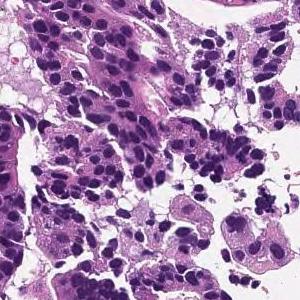
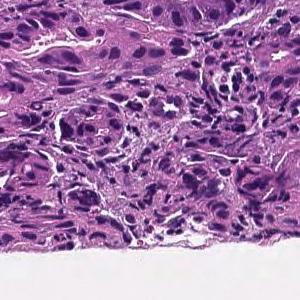
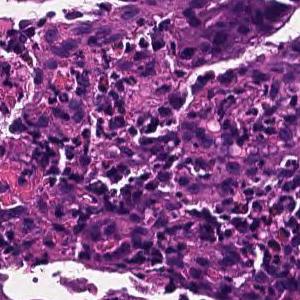
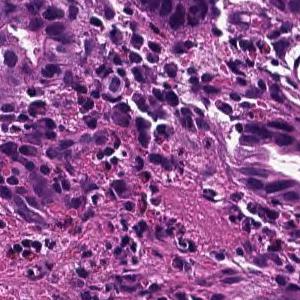
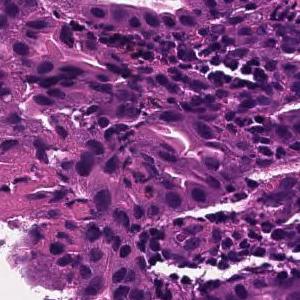
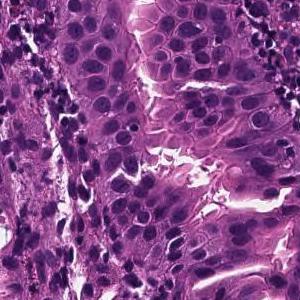
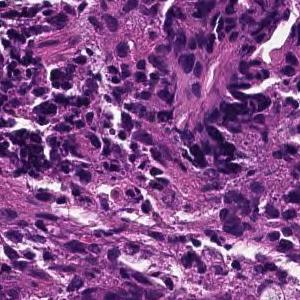
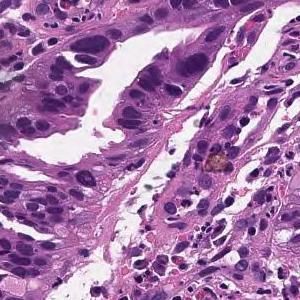
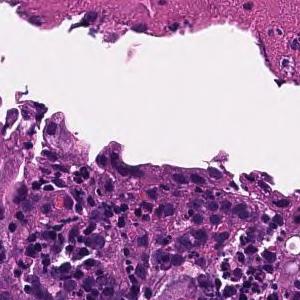
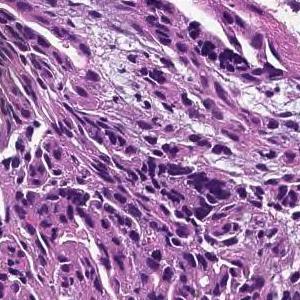
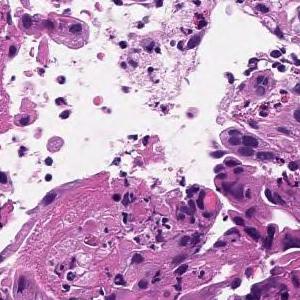
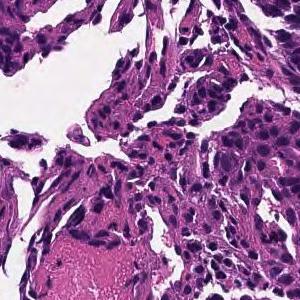
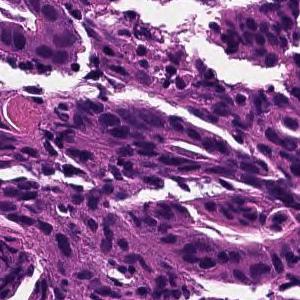
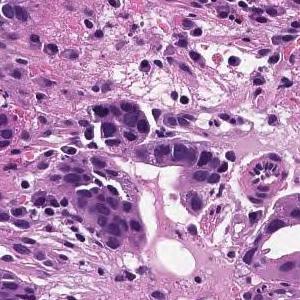
14 tiles cut from one stomach biopsy slide · ×20 · hematoxylin and eosin stain.
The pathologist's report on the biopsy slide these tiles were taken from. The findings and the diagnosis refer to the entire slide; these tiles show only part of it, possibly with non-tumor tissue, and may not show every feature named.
In the superficial epithelium, tumor tissue that invades by forming medium-sized to small, irregular ducts is observed. moderately differentiated tubular adenocarcinoma.
